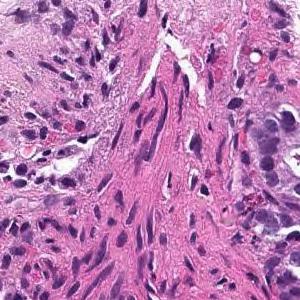
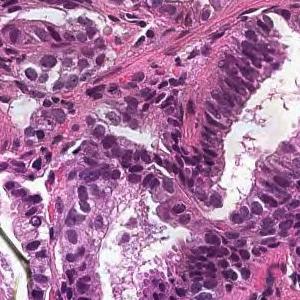
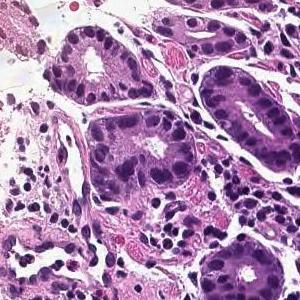
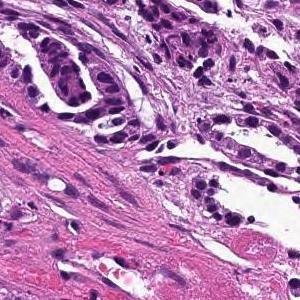
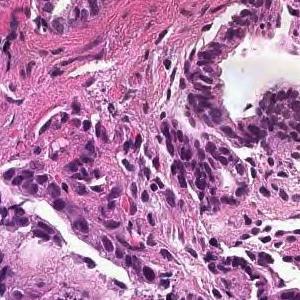
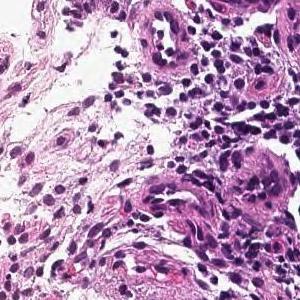
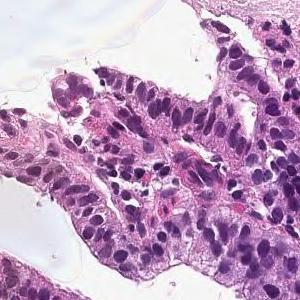
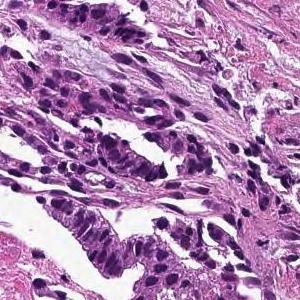
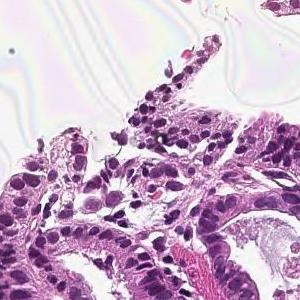
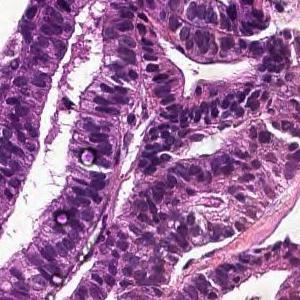
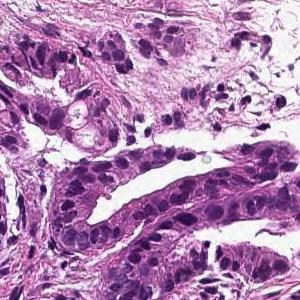
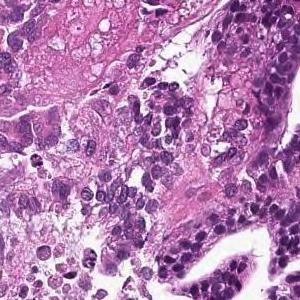
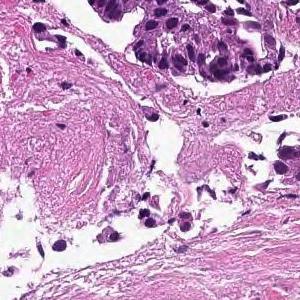
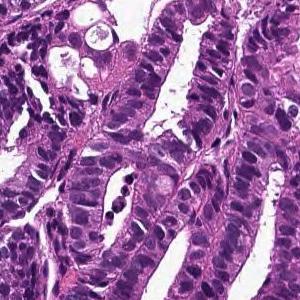
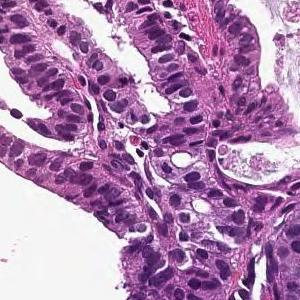
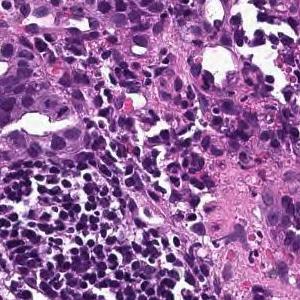
16 patches cut from one gastric biopsy slide, each 300 × 300 pixels, hematoxylin and eosin stain, scanned at ×20.
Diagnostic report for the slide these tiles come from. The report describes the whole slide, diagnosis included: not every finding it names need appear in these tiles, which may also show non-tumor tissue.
Tumor cells are large, highly columnar, large club-shaped nuclei, and are associated with chromatin aggregation. Papillary adenocarcinoma.
